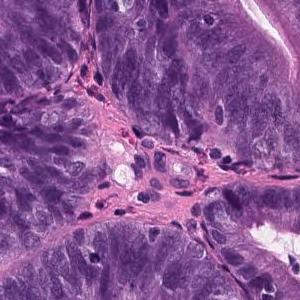
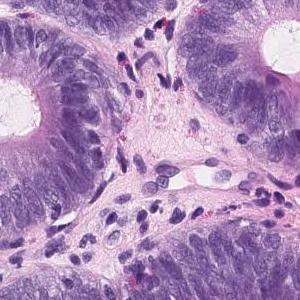
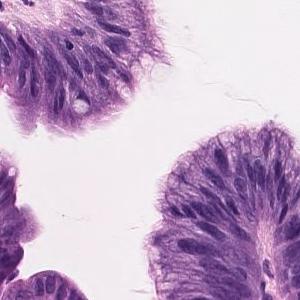
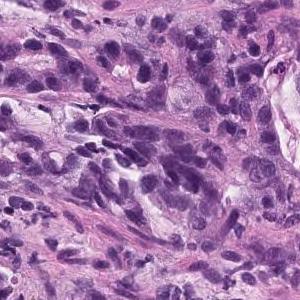
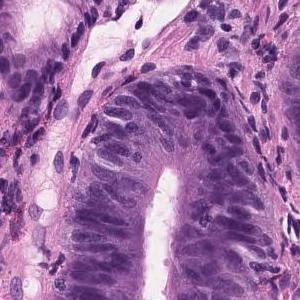
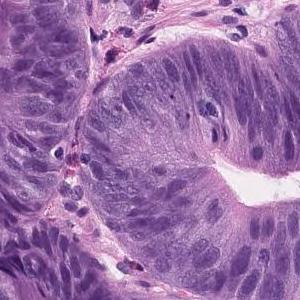
6 tiles cut from one stomach biopsy slide; 300 × 300 pixels each; scanned at ×20; H&E stain.
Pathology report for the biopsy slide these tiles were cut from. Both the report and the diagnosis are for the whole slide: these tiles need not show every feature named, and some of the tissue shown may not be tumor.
On the superficial epithelium, tumor tissue with densely growing medium to large, round tubules is observed. Tumor cells are highly columnar, with nuclei aligned basolaterally and polarized. Well differentiated tubular adenocarcinoma
